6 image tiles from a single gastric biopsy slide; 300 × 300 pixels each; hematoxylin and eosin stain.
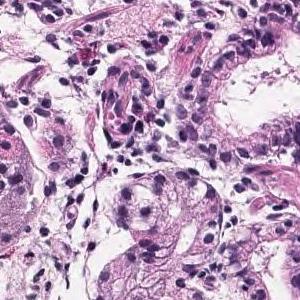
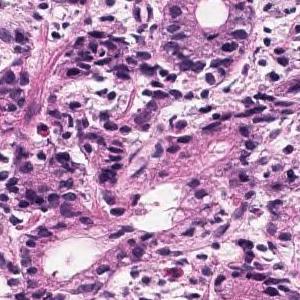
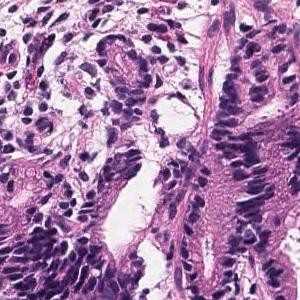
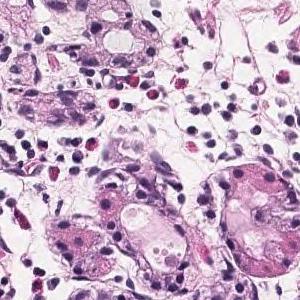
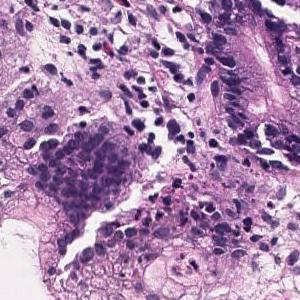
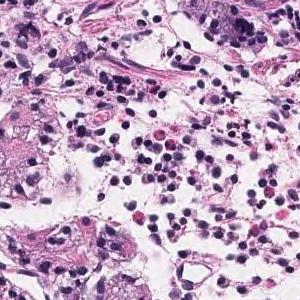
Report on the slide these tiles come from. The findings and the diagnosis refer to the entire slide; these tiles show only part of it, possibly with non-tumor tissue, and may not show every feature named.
Tumor tissue that grows and grows is observed, showing a medium-sized round or irregular duct. moderately differentiated tubular adenocarcinoma
